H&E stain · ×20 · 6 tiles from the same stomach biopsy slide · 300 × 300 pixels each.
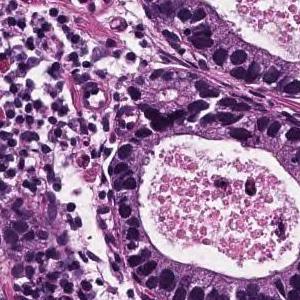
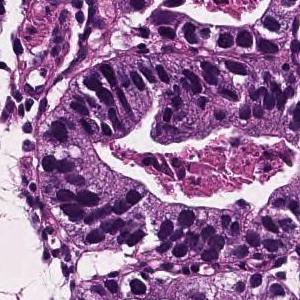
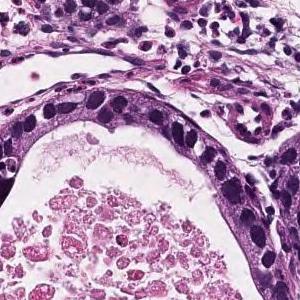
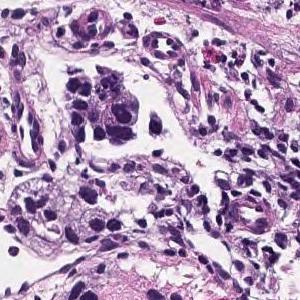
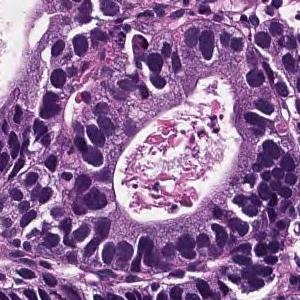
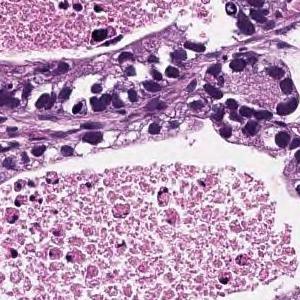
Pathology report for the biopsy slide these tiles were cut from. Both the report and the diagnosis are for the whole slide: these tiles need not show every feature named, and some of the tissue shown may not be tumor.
In the superficial epithelium, tumor tissue that invades by forming medium-sized to small, irregular ducts is observed. Well differentiated tubular adenocarcinoma.
